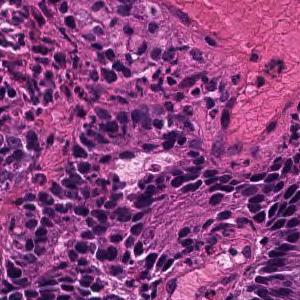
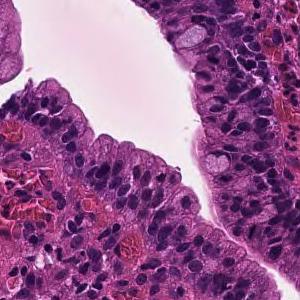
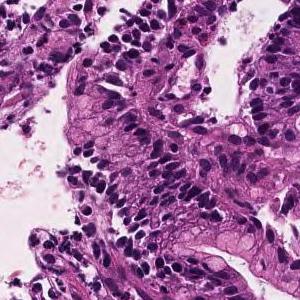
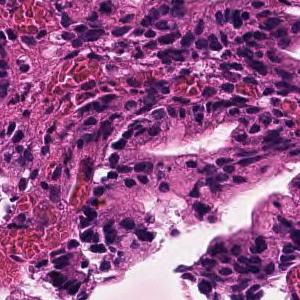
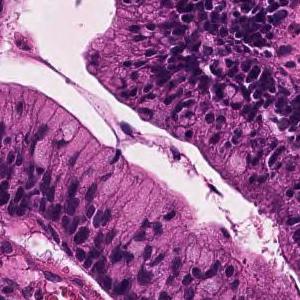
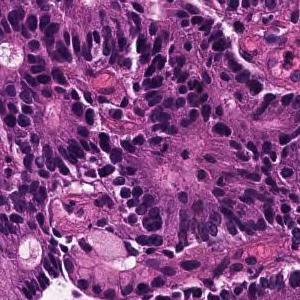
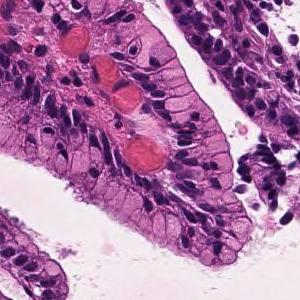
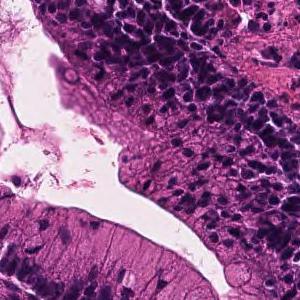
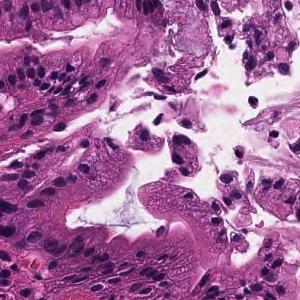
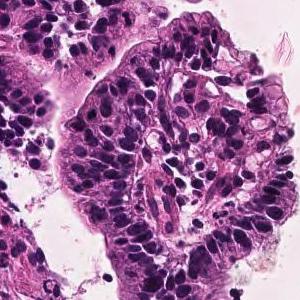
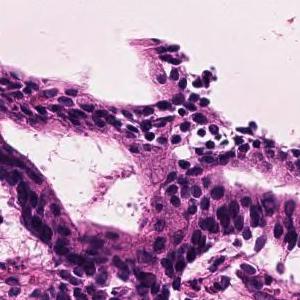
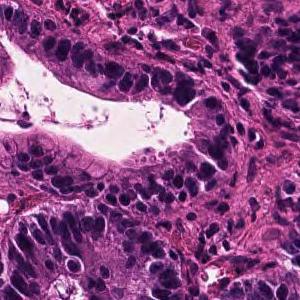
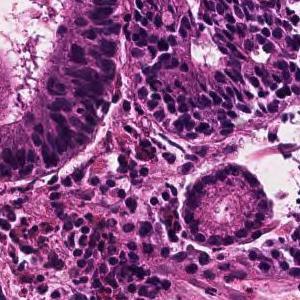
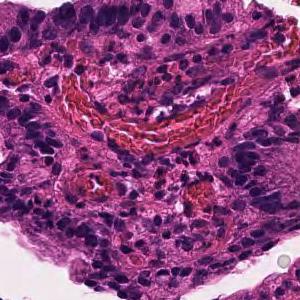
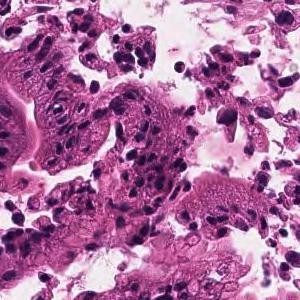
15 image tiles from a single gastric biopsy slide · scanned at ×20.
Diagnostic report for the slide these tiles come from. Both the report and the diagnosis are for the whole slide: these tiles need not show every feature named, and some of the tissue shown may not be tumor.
In the superficial epithelium, tumor tissue that invades by forming medium-sized to small, irregular ducts is observed. moderately differentiated tubular adenocarcinoma.
